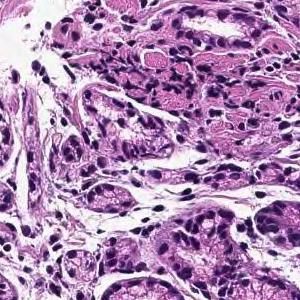
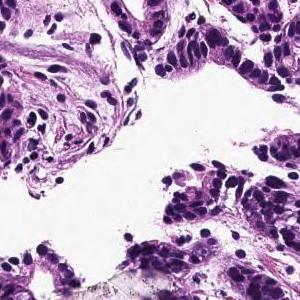
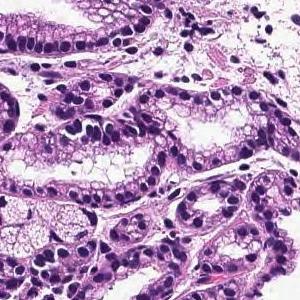
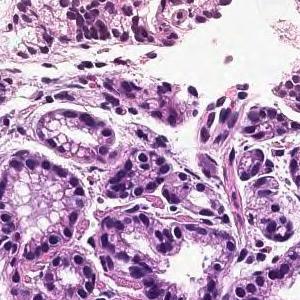
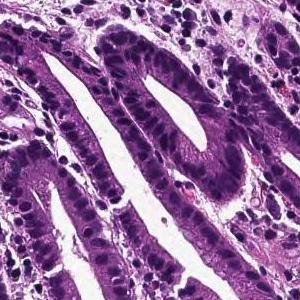
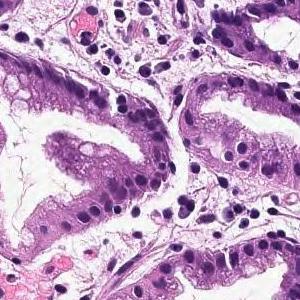
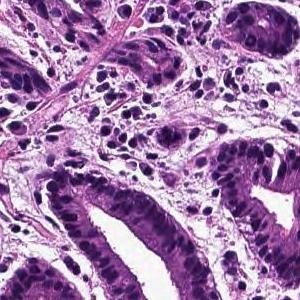
7 tiles cut from one stomach biopsy slide; scanned at ×20.
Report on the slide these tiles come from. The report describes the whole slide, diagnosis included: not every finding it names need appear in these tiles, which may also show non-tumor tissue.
In the superficial epithelium, tumor tissue that invades by forming medium-sized to small, irregular ducts is observed. moderately differentiated tubular adenocarcinoma.
